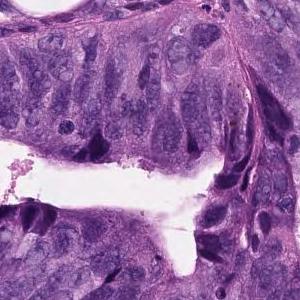
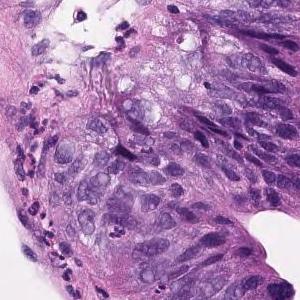
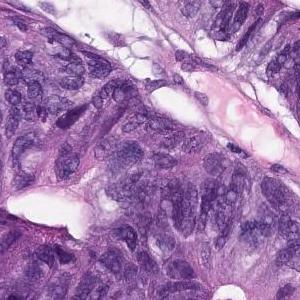
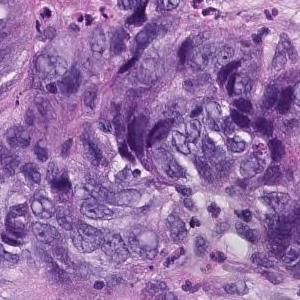
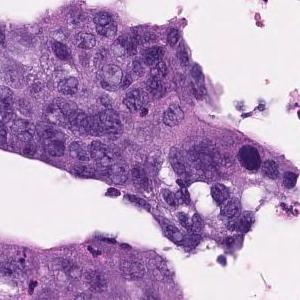
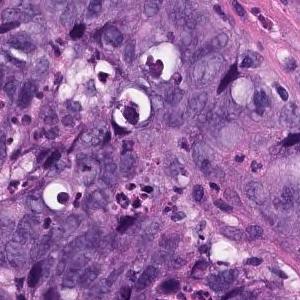
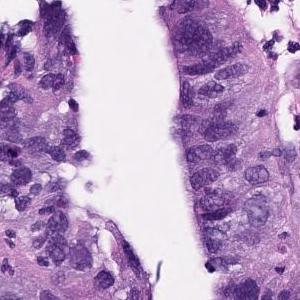
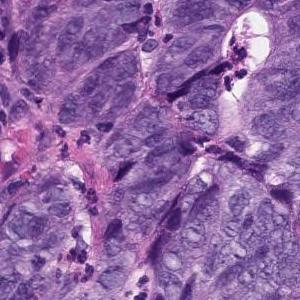
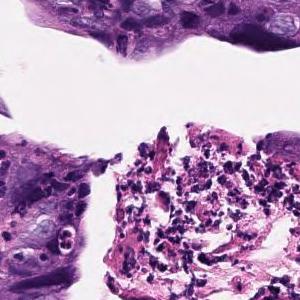
Hematoxylin and eosin stain · 20× magnification · 9 tiles from the same stomach biopsy slide · 300×300 px each.
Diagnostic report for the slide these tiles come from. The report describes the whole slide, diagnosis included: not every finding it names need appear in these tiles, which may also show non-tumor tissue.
In the superficial epithelium, tumor tissue that invades by forming medium-sized to small, irregular ducts is observed. Moderately differentiated adenocarcinoma.
Tumor subtype: moderately differentiated tubular adenocarcinoma.
